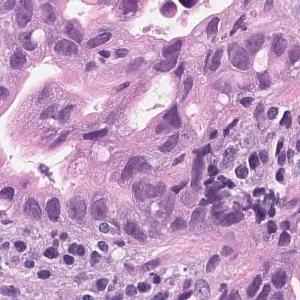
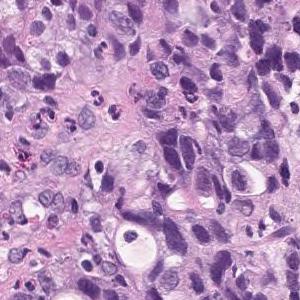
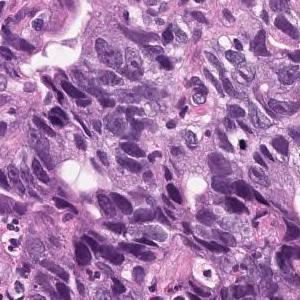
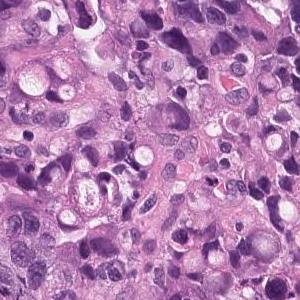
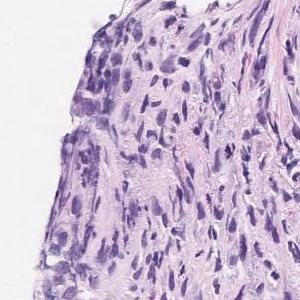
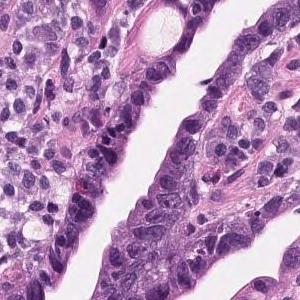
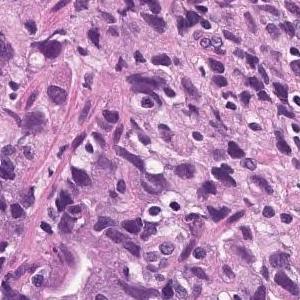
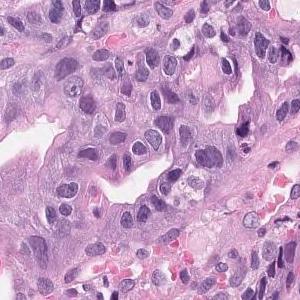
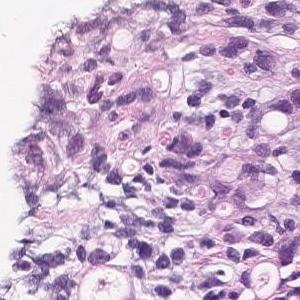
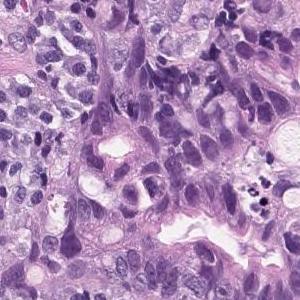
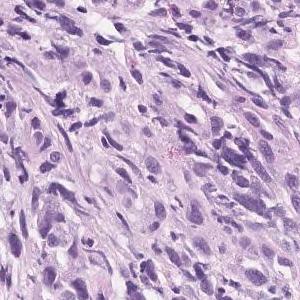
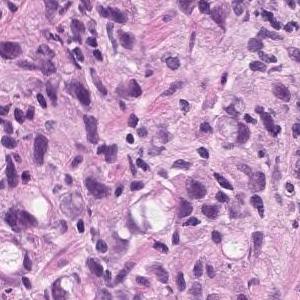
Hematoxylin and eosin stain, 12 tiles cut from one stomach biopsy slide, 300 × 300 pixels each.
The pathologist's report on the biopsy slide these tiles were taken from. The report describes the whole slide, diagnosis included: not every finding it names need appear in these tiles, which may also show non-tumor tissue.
Tumor tissue consisting of medium-sized, cord-like or irregular glandular infiltration is observed in the superficial epithelium. Poorly differentiated adenocarcinoma, non-solid type or moderately differentiated tubular adenocarcinoma
The dataset labels this slide poorly differentiated adenocarcinoma, non-solid type.
The term "non-solid type" comes from the Japanese Classification of Gastric Carcinoma.
